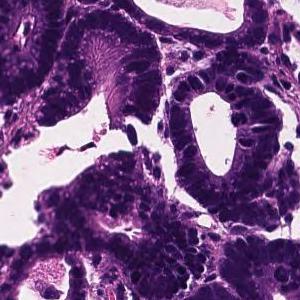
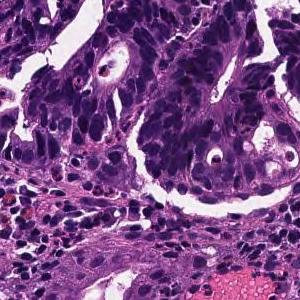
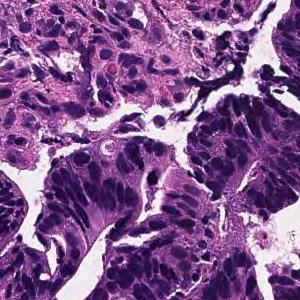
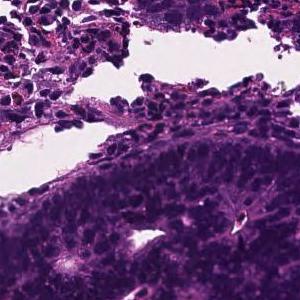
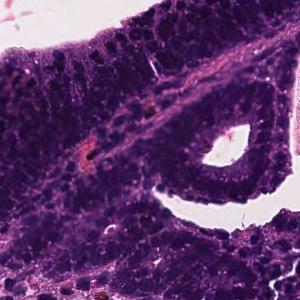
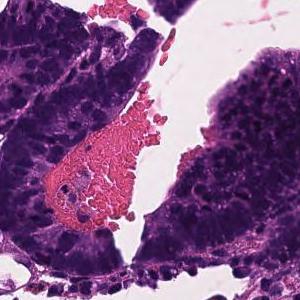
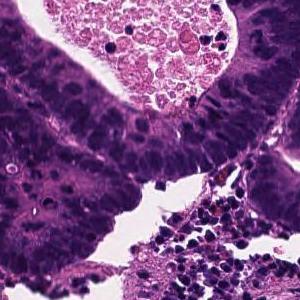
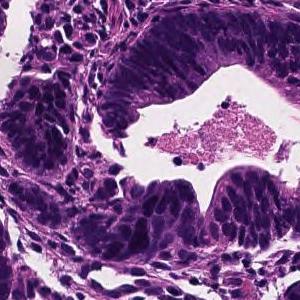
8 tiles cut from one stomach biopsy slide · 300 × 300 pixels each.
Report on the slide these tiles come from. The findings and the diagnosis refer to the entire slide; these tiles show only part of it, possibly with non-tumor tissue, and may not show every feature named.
On the superficial epithelium, tumor tissue consisting of medium-sized and irregular glandular ducts partially fused and infiltrated is observed. Well to moderately differentiated tubular adenocarcinoma (well differentiated tubular adenocarcinoma, moderately differentiated tubular adenocarcinoma)
Subtype: Well to moderately differentiated tubular adenocarcinoma.
